×20; 16 tiles from the same stomach biopsy slide; each 300 × 300 pixels.
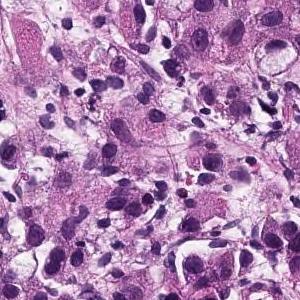
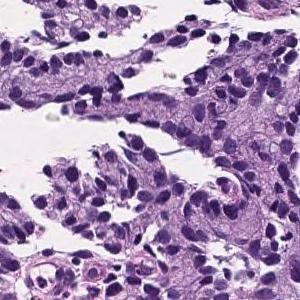
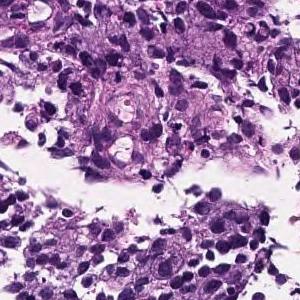
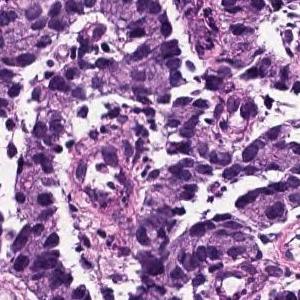
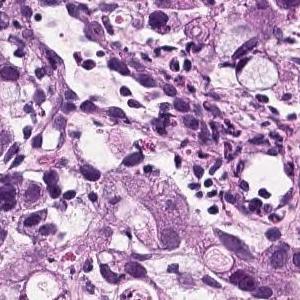
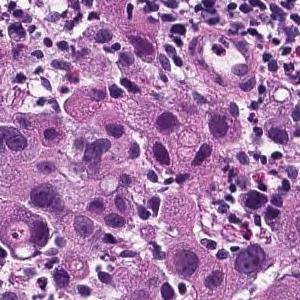
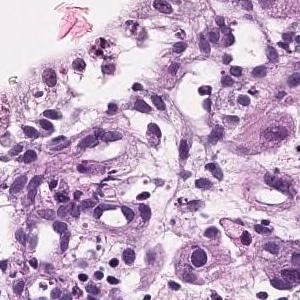
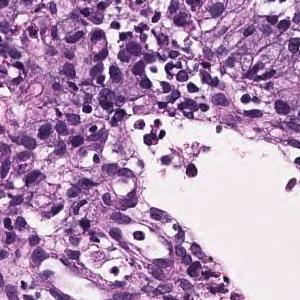
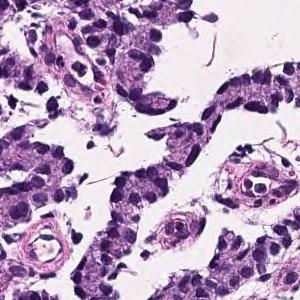
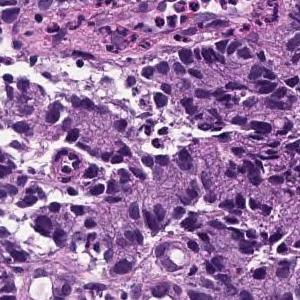
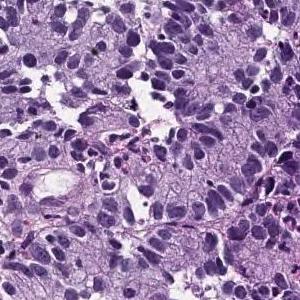
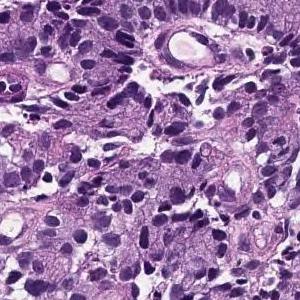
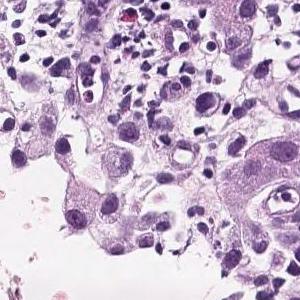
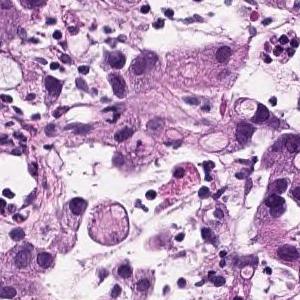
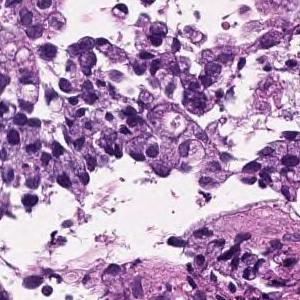
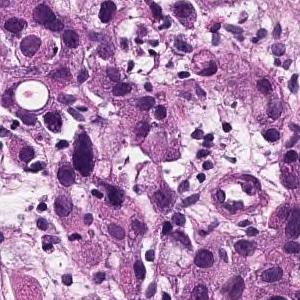
Pathology report for the slide these tiles were cut from. Both the report and the diagnosis are for the whole slide: these tiles need not show every feature named, and some of the tissue shown may not be tumor.
Tumor tissue infiltrated by irregular fusion of small cord-like structures is found in the superficial epithelium. Poorly differentiated adenocarcinoma, non-solid type
"Non-solid type" is a category of the Japanese Classification of Gastric Carcinoma.
